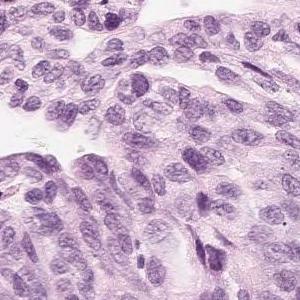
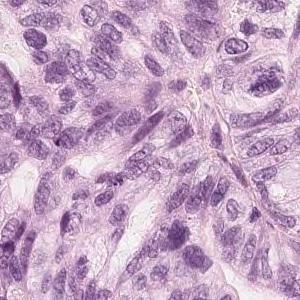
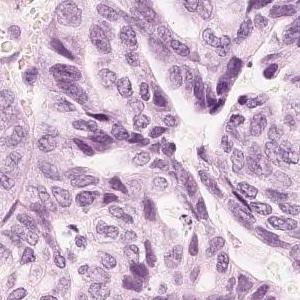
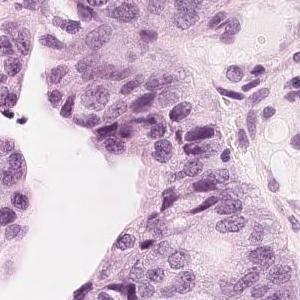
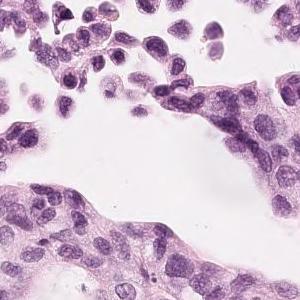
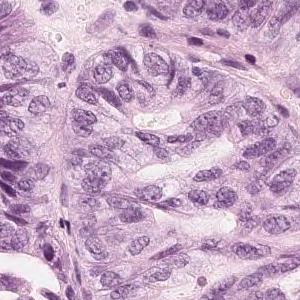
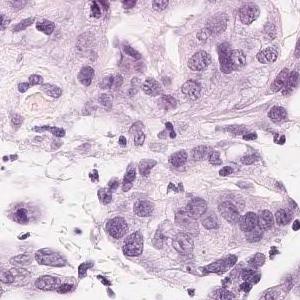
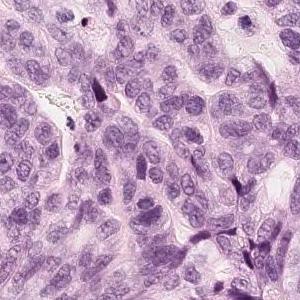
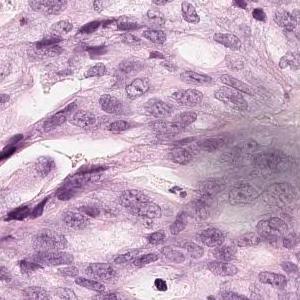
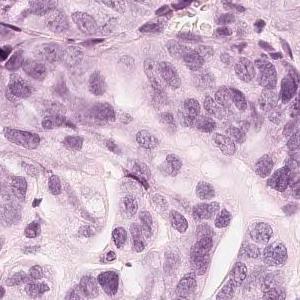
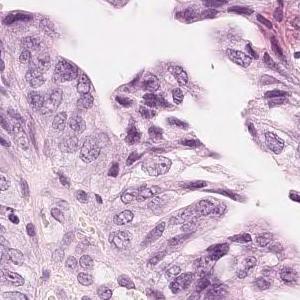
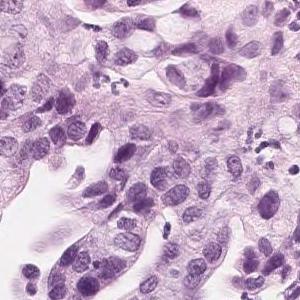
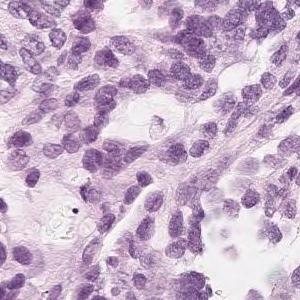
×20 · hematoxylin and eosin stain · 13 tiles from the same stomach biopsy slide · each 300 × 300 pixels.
Pathology report for the biopsy slide these tiles were cut from. The findings and the diagnosis refer to the entire slide; these tiles show only part of it, possibly with non-tumor tissue, and may not show every feature named.
Tumor tissue in which medium-sized atypical epithelial cells with a large N/C ratio grow densely while becoming alveolar to cord-like with duct formation is observed. moderately differentiated tubular adenocarcinoma
